13 image tiles from a single gastric biopsy slide; scanned at ×20; H&E.
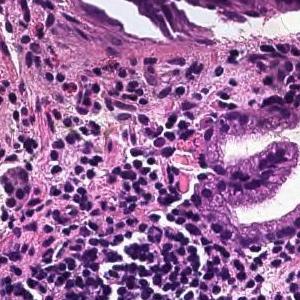
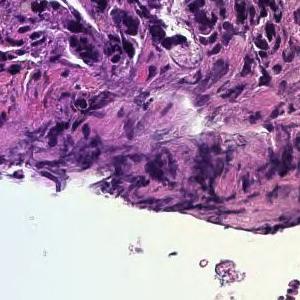
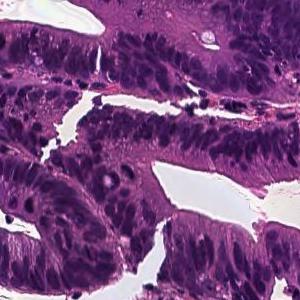
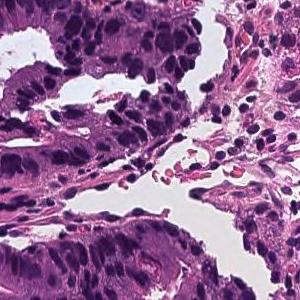
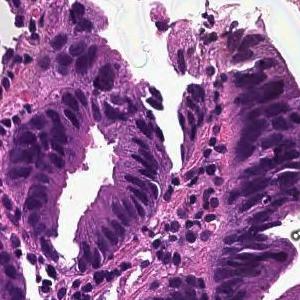
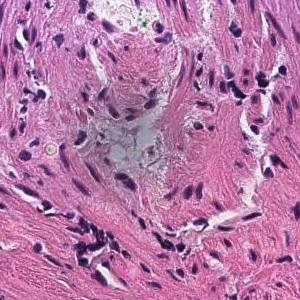
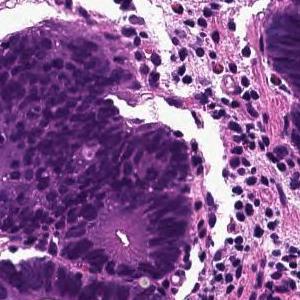
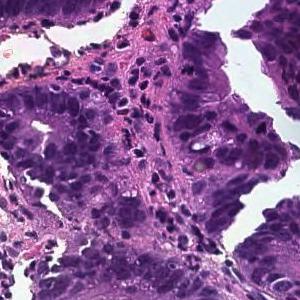
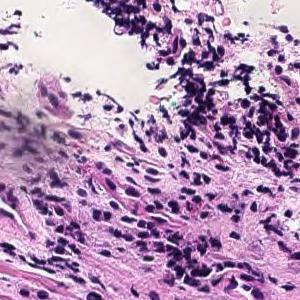
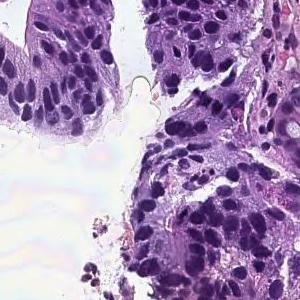
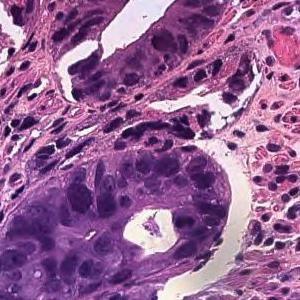
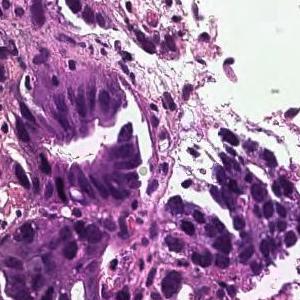
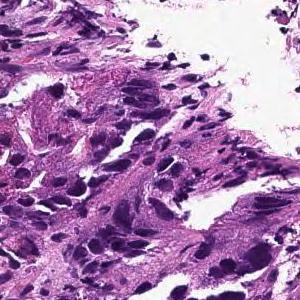
The pathologist's report on the biopsy slide these tiles were taken from. The report and the diagnosis describe the slide as a whole, so these tiles may not show every feature named and may include non-tumor tissue.
In the superficial epithelium, tumor tissue that invades by forming medium-sized to small, irregular ducts is observed. moderately differentiated tubular adenocarcinoma.
